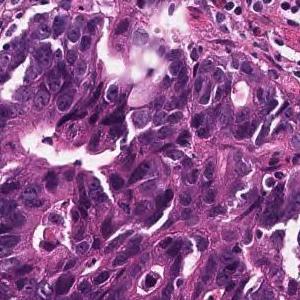
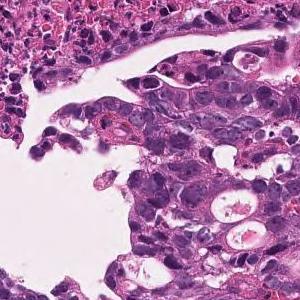
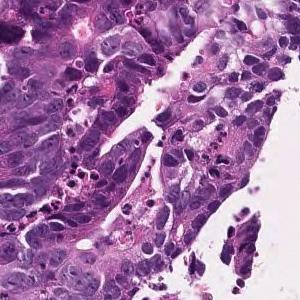
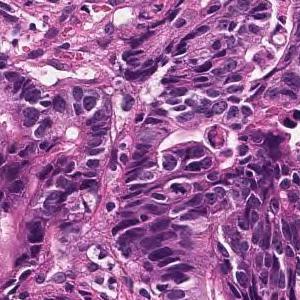
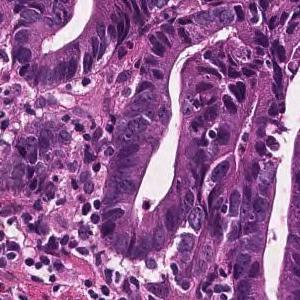
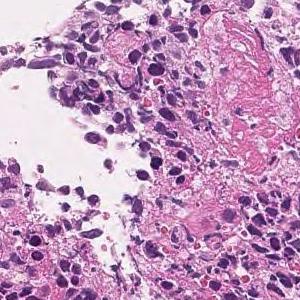
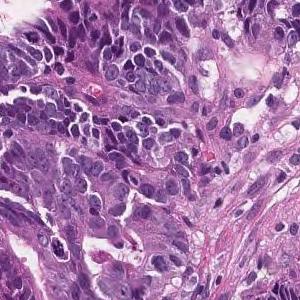
7 patches cut from one gastric biopsy slide; 300 × 300 pixels each; 20× magnification.
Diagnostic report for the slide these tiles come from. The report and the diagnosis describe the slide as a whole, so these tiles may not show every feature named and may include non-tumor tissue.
In the superficial epithelium, tumor tissue that invades by forming medium-sized to small, irregular ducts is observed. moderately differentiated tubular adenocarcinoma.
